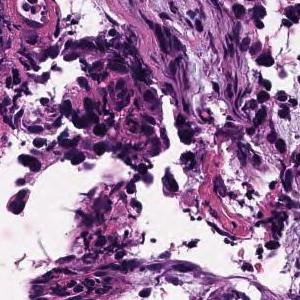
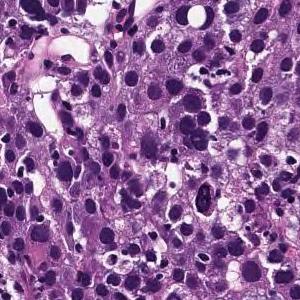
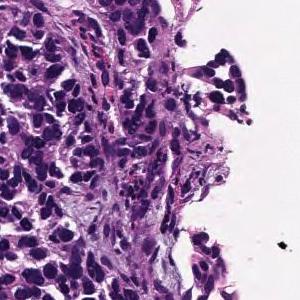
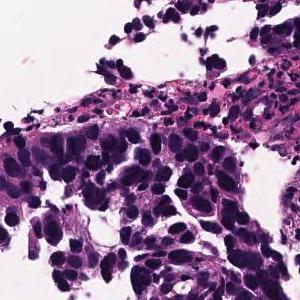
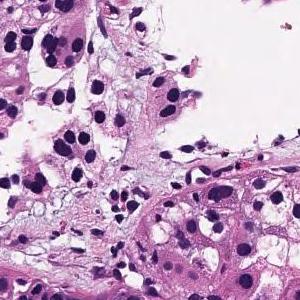
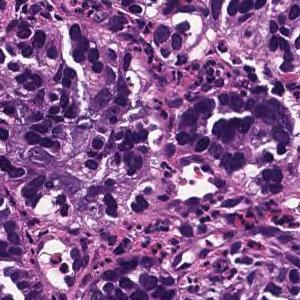
H&E · scanned at ×20 · 6 tiles from the same stomach biopsy slide · 300 × 300 pixels each.
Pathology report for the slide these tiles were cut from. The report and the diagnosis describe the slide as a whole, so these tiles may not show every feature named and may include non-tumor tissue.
Medium to small, irregular glandular ducts are formed in the superficial epithelium, and in some cases, the glandular ducts are fused to show solid alveolar lesions and infiltrating tumor tissue is observed. Moderately to poorly differentiated adenocarcinoma.
